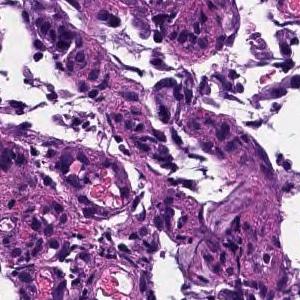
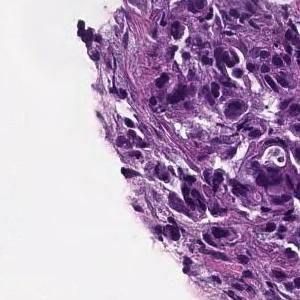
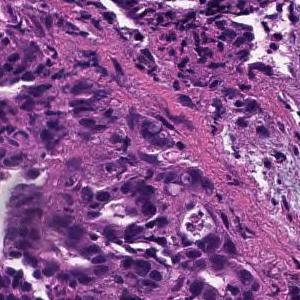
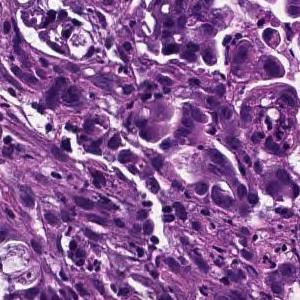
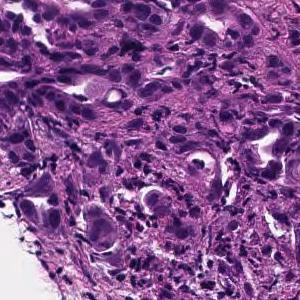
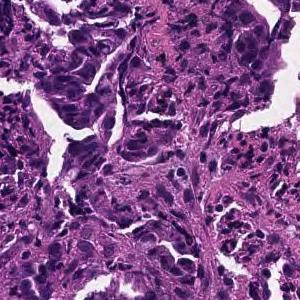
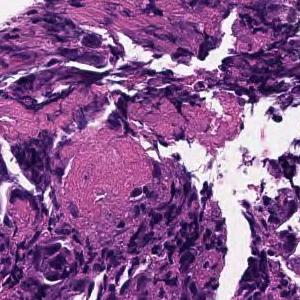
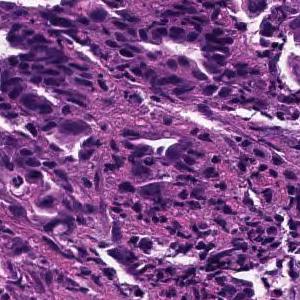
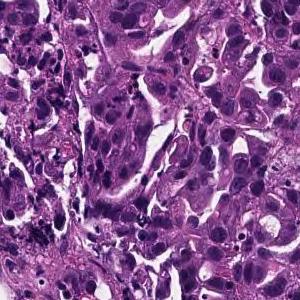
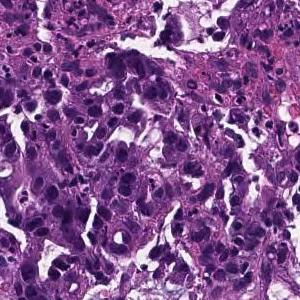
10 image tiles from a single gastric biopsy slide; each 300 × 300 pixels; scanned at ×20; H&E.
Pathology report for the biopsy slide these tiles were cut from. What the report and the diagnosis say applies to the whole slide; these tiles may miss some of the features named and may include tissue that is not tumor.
Tumor tissue consisting of medium-sized, cord-like or irregular glandular infiltration is observed in the superficial epithelium. Poorly differentiated adenocarcinoma, non-solid type or moderately differentiated tubular adenocarcinoma
Classified as moderately to poorly differentiated adenocarcinoma.
The term "non-solid type" comes from the Japanese Classification of Gastric Carcinoma.
